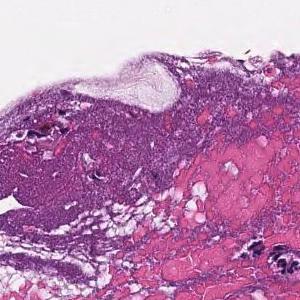
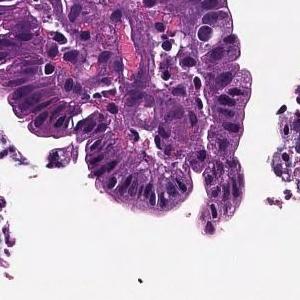
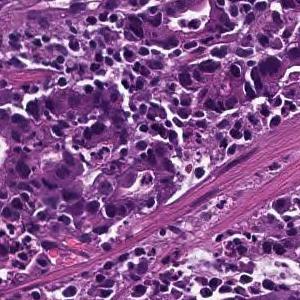
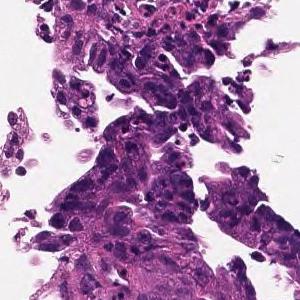
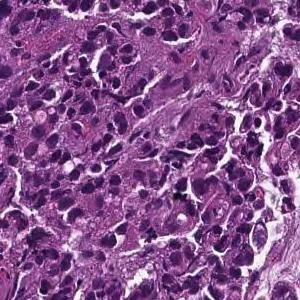
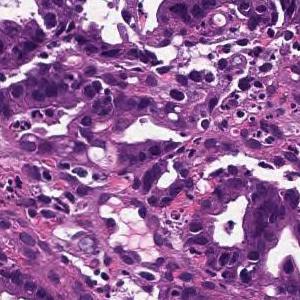
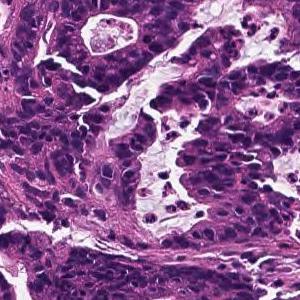
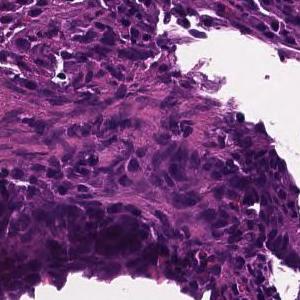
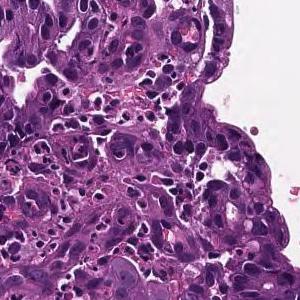
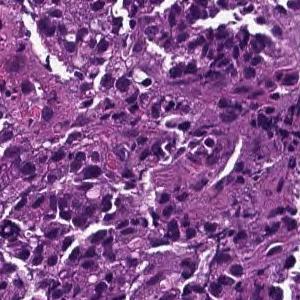
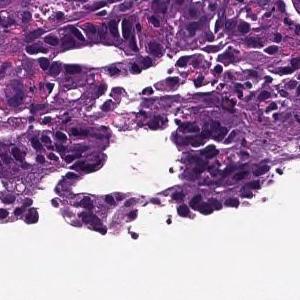
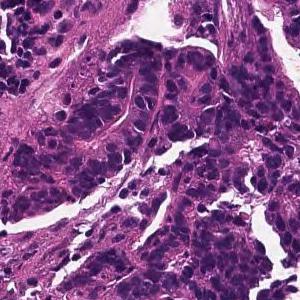
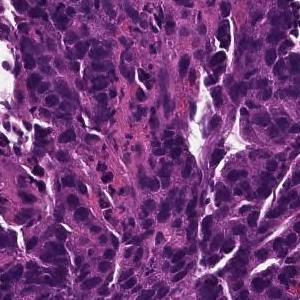
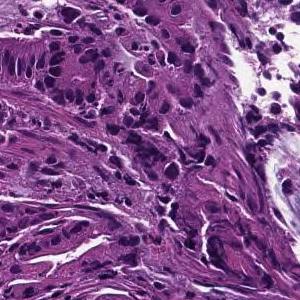
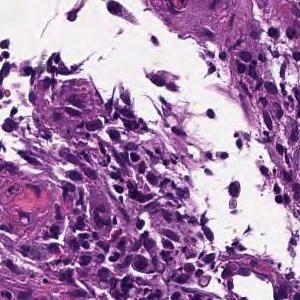
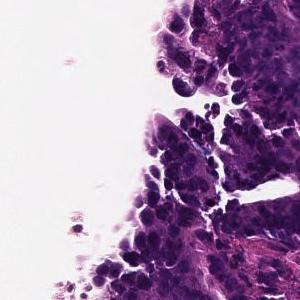
16 patches cut from one gastric biopsy slide, 300 × 300 pixels each.
Pathology report for the biopsy slide these tiles were cut from. What the report and the diagnosis say applies to the whole slide; these tiles may miss some of the features named and may include tissue that is not tumor.
On the superficial epithelium, tumor tissue consisting of large irregular glandular ducts partially fused and infiltrated is observed. Well to moderately differentiated tubular adenocarcinoma (well differentiated tubular adenocarcinoma, moderately differentiated tubular adenocarcinoma)
Tumor subtype: well to moderately differentiated tubular adenocarcinoma.
